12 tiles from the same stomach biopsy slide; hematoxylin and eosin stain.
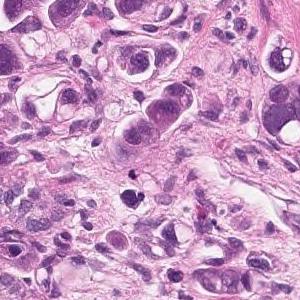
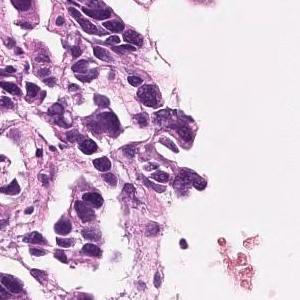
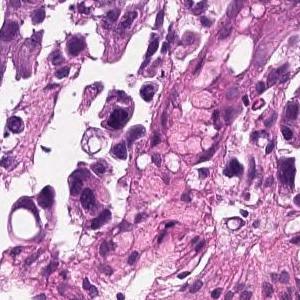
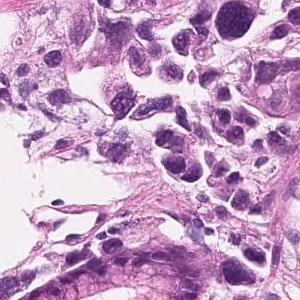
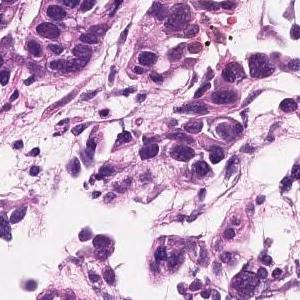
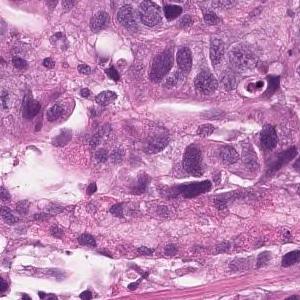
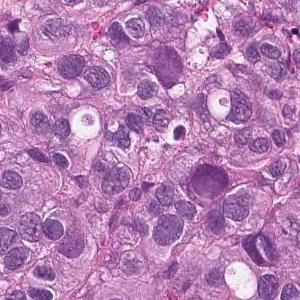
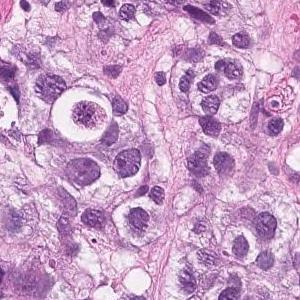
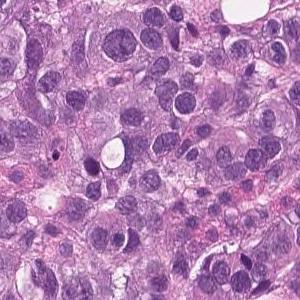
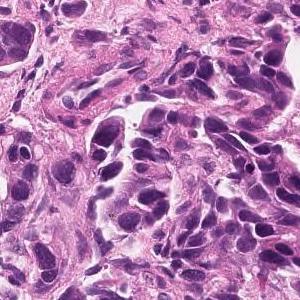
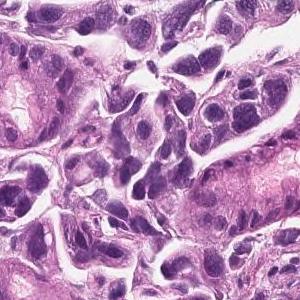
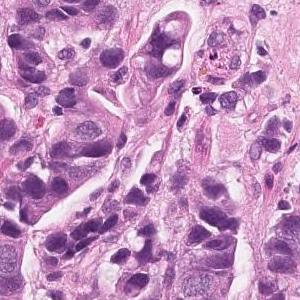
Pathology report for the biopsy slide these tiles were cut from. Both the report and the diagnosis are for the whole slide: these tiles need not show every feature named, and some of the tissue shown may not be tumor.
Tumor tissue that infiltrates the epithelium in an alveolar manner. Poorly differentiated adenocarcinoma, solid-type
Histologic type: Poorly differentiated adenocarcinoma, solid type, a category of the Japanese Classification of Gastric Carcinoma; in the WHO 2019 classification it is tubular adenocarcinoma, poorly differentiated.
